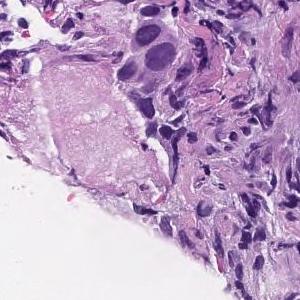
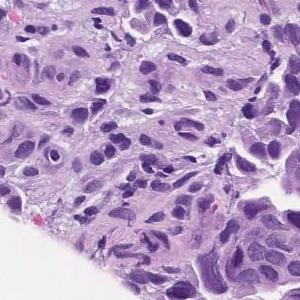
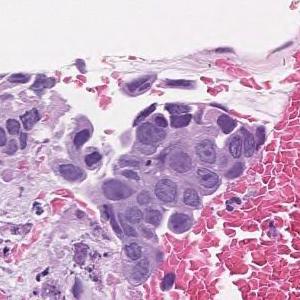
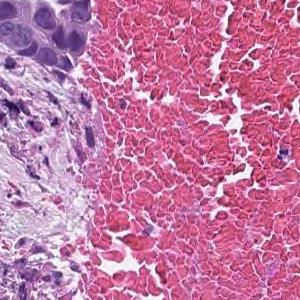
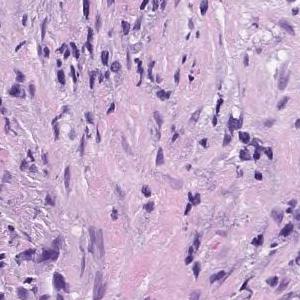
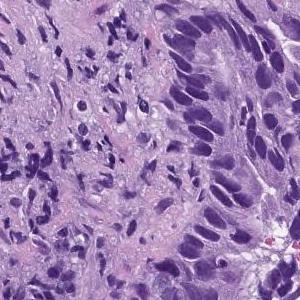
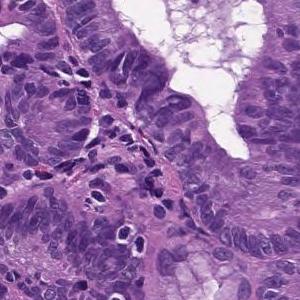
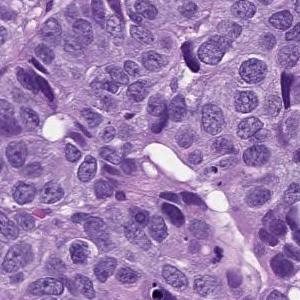
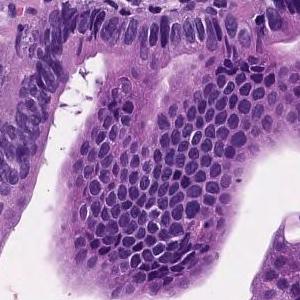
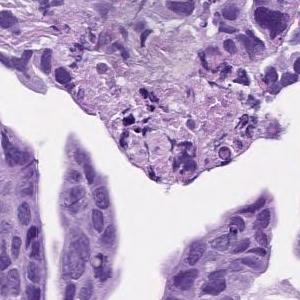
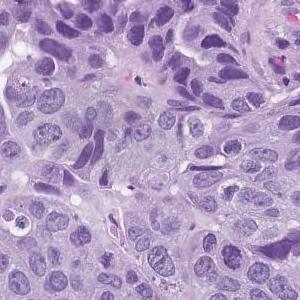
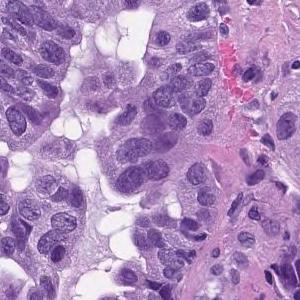
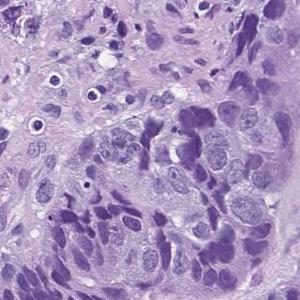
H&E stain, 13 tiles from the same stomach biopsy slide, each 300 × 300 pixels.
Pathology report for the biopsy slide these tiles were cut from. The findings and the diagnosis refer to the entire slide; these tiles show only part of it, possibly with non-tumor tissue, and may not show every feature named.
In the superficial epithelium, tumor tissue that invades by forming medium-sized to small, irregular ducts is observed. moderately differentiated tubular adenocarcinoma.
